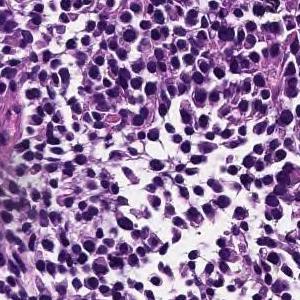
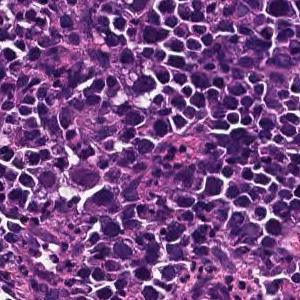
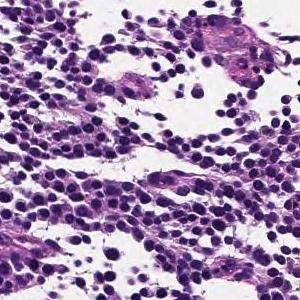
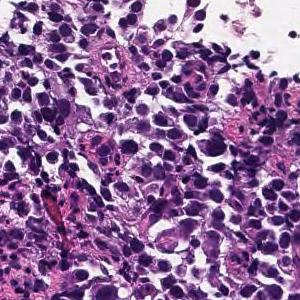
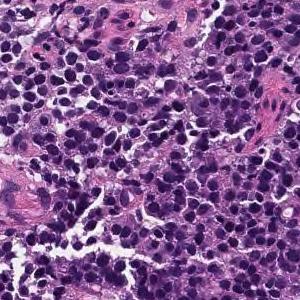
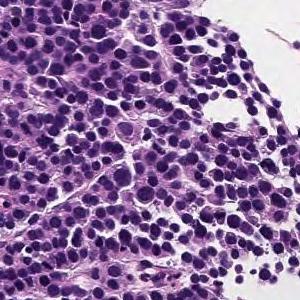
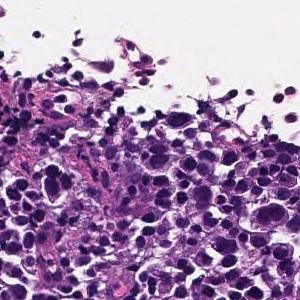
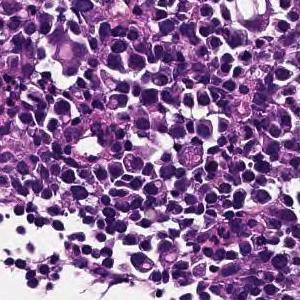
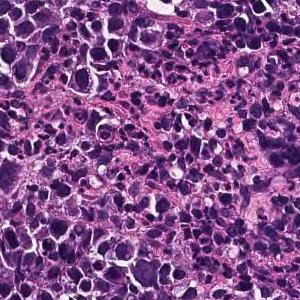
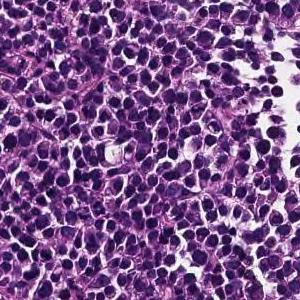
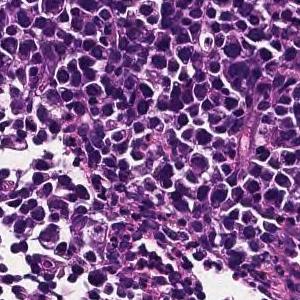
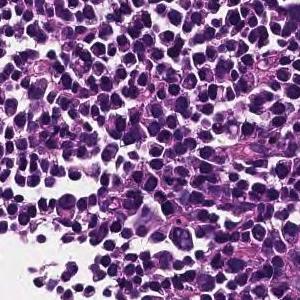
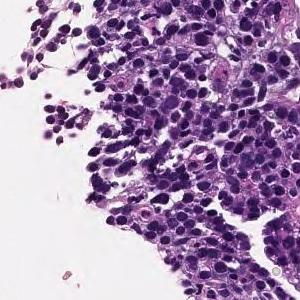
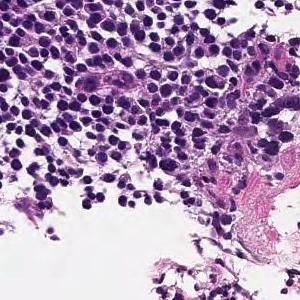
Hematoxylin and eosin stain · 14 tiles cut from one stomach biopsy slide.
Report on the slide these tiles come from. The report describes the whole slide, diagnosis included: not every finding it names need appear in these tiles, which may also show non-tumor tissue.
Large sheet-like or diffusely infiltrating tumor tissue is found in the superficial epithelium. Poorly differentiated adenocarcinoma, solid-type
Tumor subtype: poorly differentiated adenocarcinoma, solid type. This name comes from the Japanese Classification of Gastric Carcinoma; the WHO 2019 classification calls it tubular adenocarcinoma, poorly differentiated.
